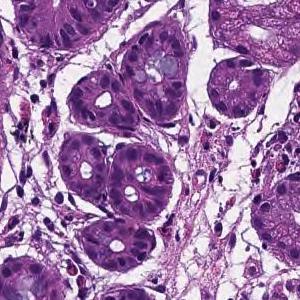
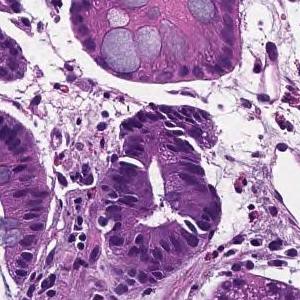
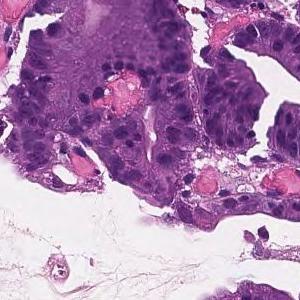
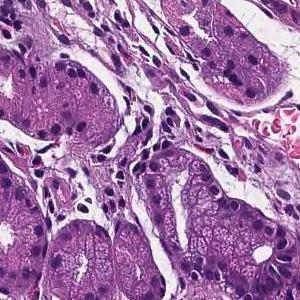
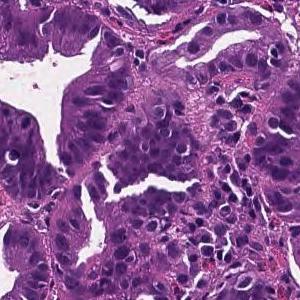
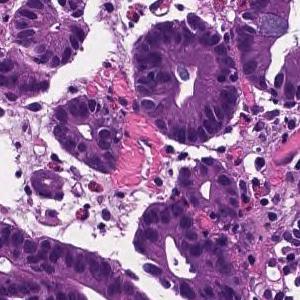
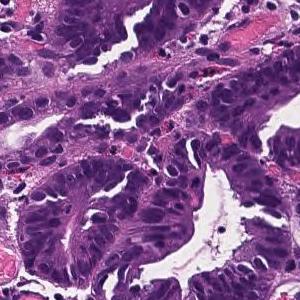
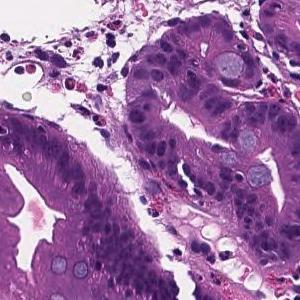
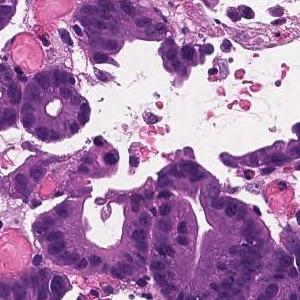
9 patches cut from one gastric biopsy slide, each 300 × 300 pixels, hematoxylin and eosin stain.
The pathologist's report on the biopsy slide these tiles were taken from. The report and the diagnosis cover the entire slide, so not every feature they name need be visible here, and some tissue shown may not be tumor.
From the superficial epithelium to the muscularis mucosae, tumor tissue consisting of medium-sized and irregular glandular ducts infiltrating is observed. Well differentiated tubular adenocarcinoma
